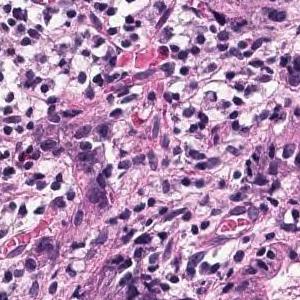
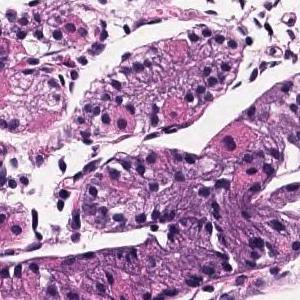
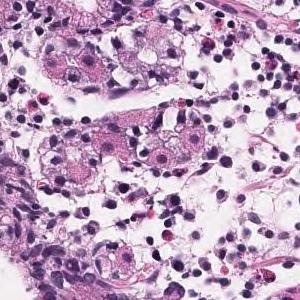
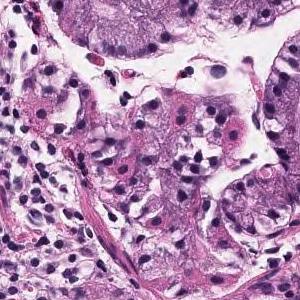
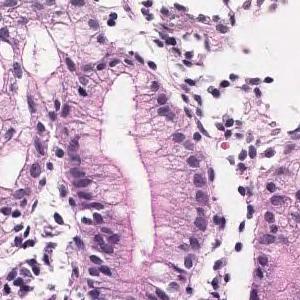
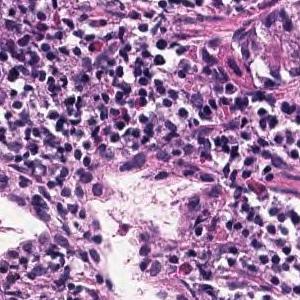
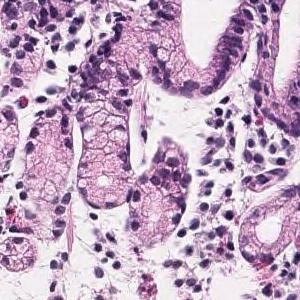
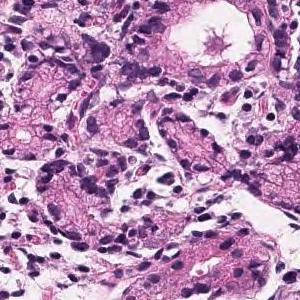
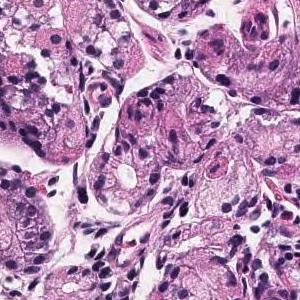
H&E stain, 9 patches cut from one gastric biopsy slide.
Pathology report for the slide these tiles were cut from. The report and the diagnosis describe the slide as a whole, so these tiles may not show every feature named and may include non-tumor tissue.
Tumor tissue that grows and grows is observed, showing a medium-sized round or irregular duct. moderately differentiated tubular adenocarcinoma
